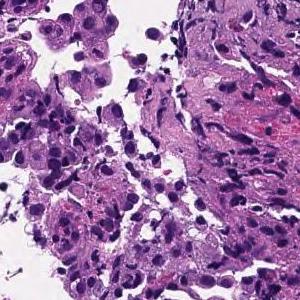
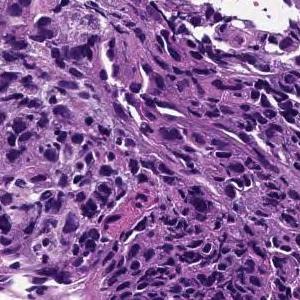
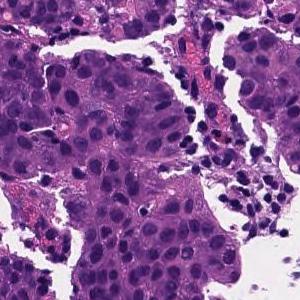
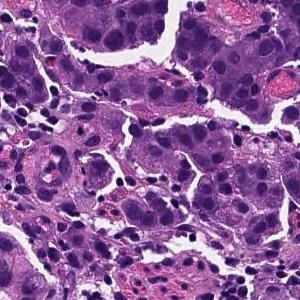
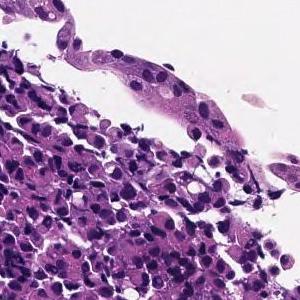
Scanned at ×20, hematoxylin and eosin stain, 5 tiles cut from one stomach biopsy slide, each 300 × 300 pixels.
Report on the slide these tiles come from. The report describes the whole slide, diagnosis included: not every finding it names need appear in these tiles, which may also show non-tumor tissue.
The superficial epithelium shows a large sheet-like shape, and some tumor tissue infiltrates with small irregular ducts. Poorly differentiated adenocarcinoma, solid-type
Classified as poorly differentiated adenocarcinoma, solid type (Japanese Classification of Gastric Carcinoma). The WHO 2019 equivalent is tubular adenocarcinoma, poorly differentiated.
